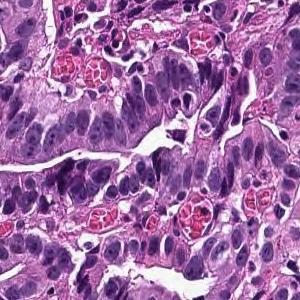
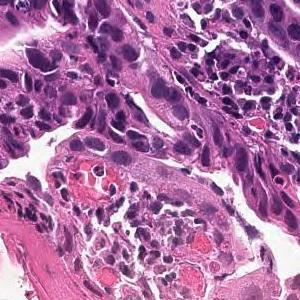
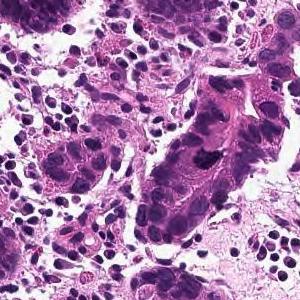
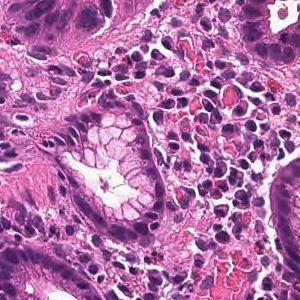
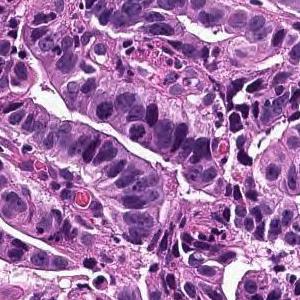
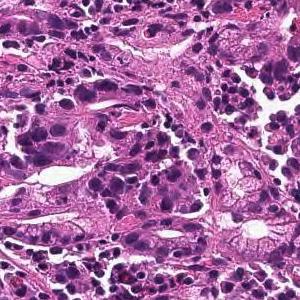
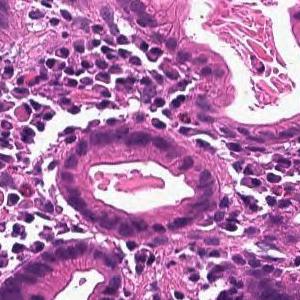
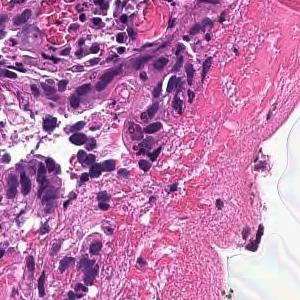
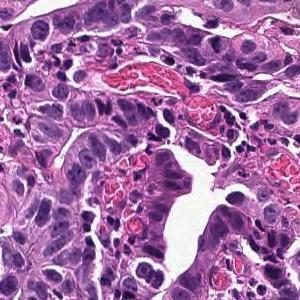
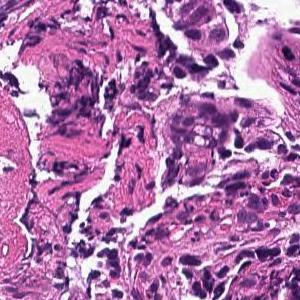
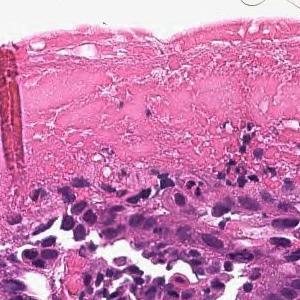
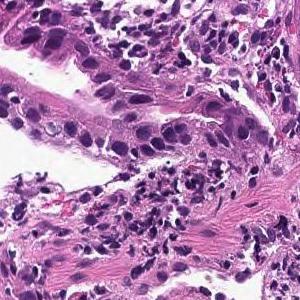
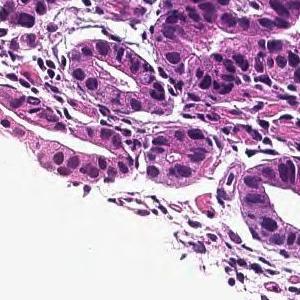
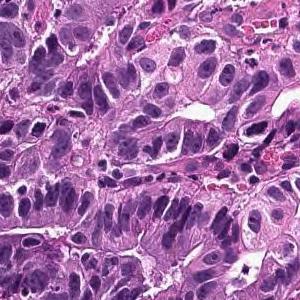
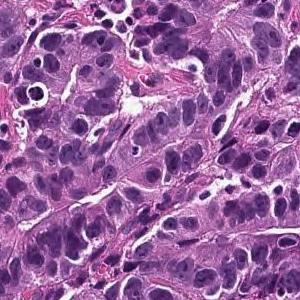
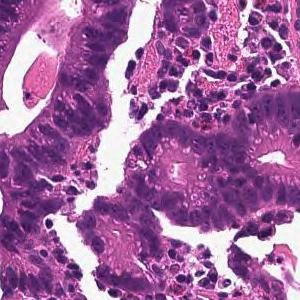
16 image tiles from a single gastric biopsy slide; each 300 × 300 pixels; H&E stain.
Diagnostic report for the slide these tiles come from. The report and the diagnosis describe the slide as a whole, so these tiles may not show every feature named and may include non-tumor tissue.
On the superficial epithelium, tumor tissue consisting of large, irregular glandular ducts partially fused and infiltrated is observed. Well to moderately differentiated tubular adenocarcinoma (well differentiated tubular adenocarcinoma, moderately differentiated tubular adenocarcinoma)
Classified as well to moderately differentiated tubular adenocarcinoma.
